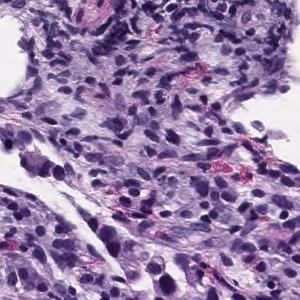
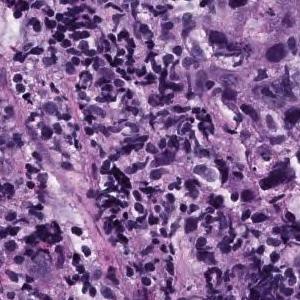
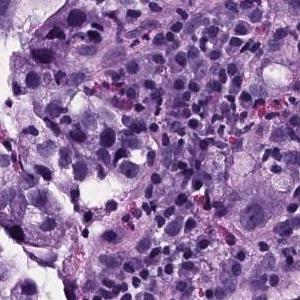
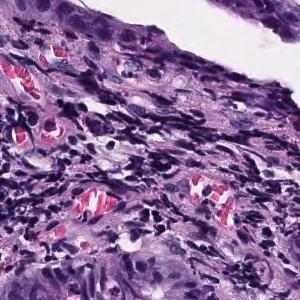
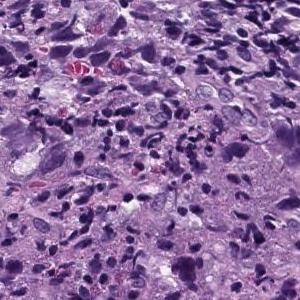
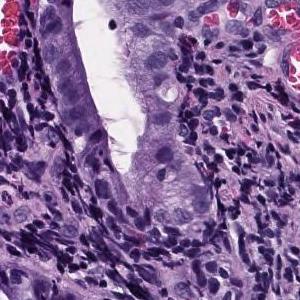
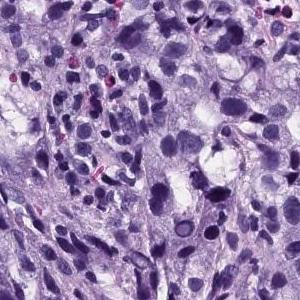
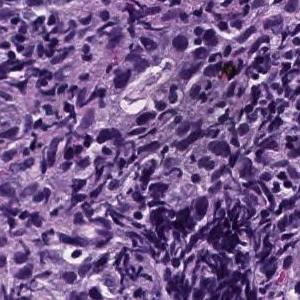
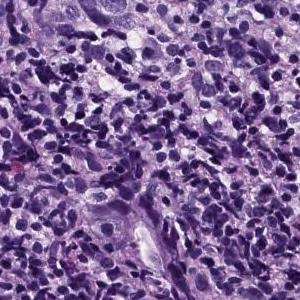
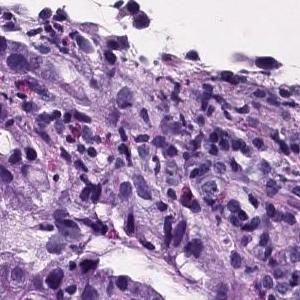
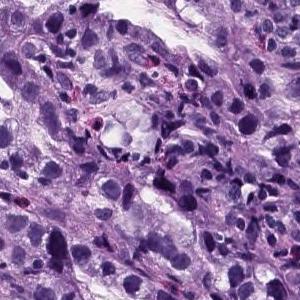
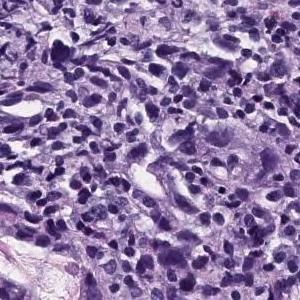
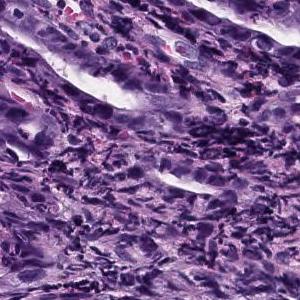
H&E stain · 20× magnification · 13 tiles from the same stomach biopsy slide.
Pathology report for the biopsy slide these tiles were cut from. The report and the diagnosis cover the entire slide, so not every feature they name need be visible here, and some tissue shown may not be tumor.
Atypical epithelial cells infiltrating and proliferating while forming solid or cord-like fused glandular cavities of different sizes is observed. moderately differentiated tubular adenocarcinoma, poorly differentiated adenocarcinoma.
Tumor subtype: moderately to poorly differentiated adenocarcinoma.
